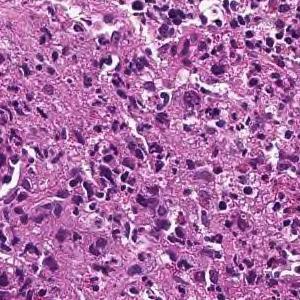
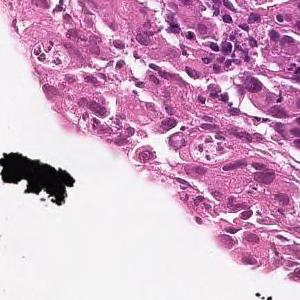
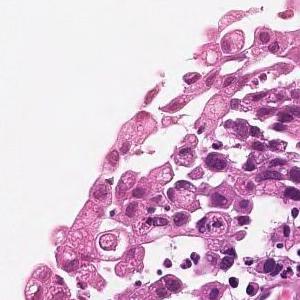
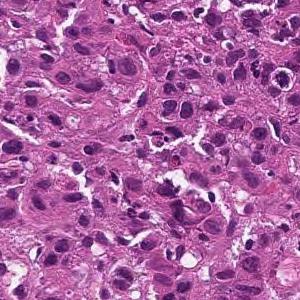
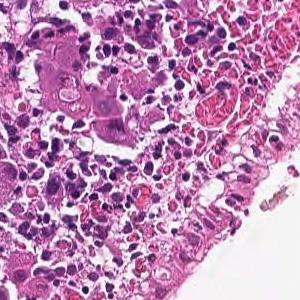
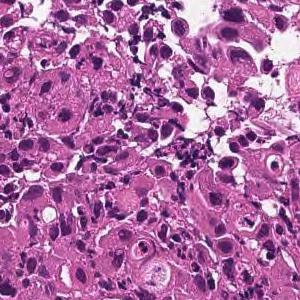
6 image tiles from a single gastric biopsy slide, ×20, H&E stain.
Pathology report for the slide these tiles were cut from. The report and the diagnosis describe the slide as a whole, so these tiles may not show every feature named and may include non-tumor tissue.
The superficial epithelium shows a large sheet-like shape, and some tumor tissue infiltrates with small irregular ducts. Poorly differentiated adenocarcinoma, solid-type
Histologic type: Poorly differentiated adenocarcinoma, solid type, a category of the Japanese Classification of Gastric Carcinoma; in the WHO 2019 classification it is tubular adenocarcinoma, poorly differentiated.
